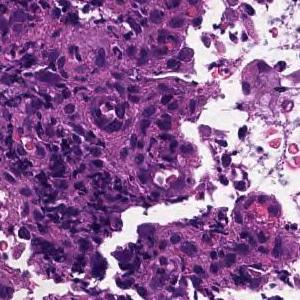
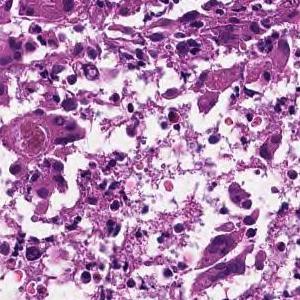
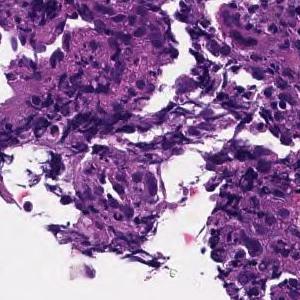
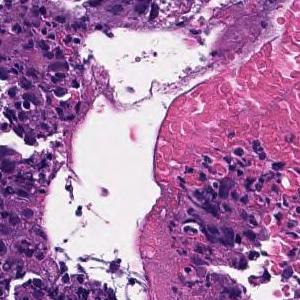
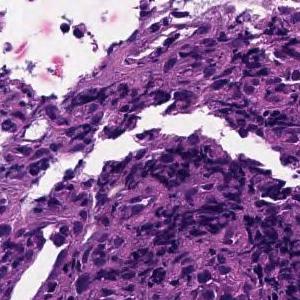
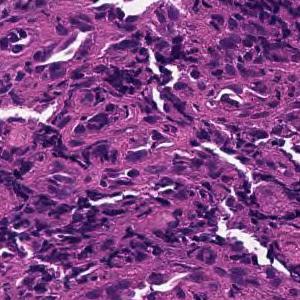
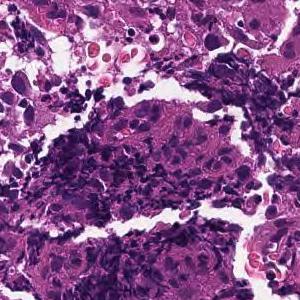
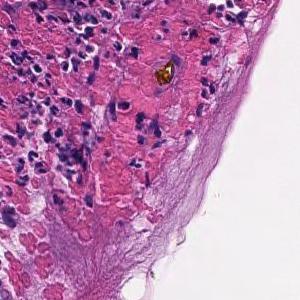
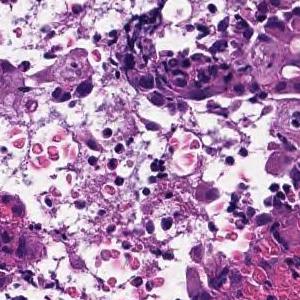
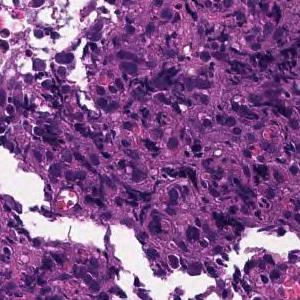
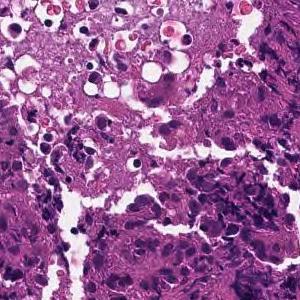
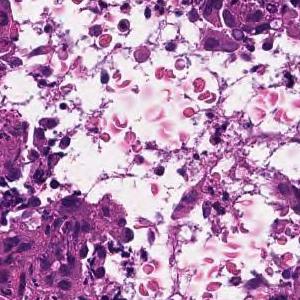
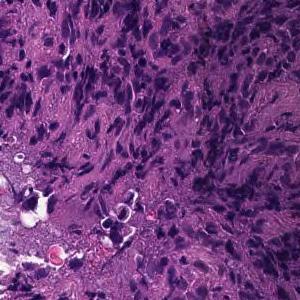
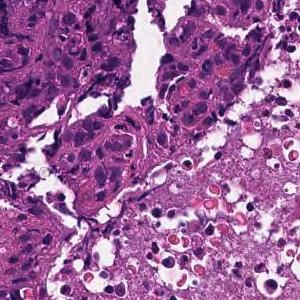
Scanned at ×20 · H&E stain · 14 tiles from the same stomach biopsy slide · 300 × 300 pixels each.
Pathology report for the biopsy slide these tiles were cut from. The report and the diagnosis describe the slide as a whole, so these tiles may not show every feature named and may include non-tumor tissue.
Tumor cells are medium to large, cuboidal, and have little tendency to differentiate. Poorly differentiated adenocarcinoma, solid-type  or moderately differentiated tubular adenocarcinoma
Dataset label: poorly differentiated adenocarcinoma, solid type, a category of the Japanese Classification of Gastric Carcinoma; in the WHO 2019 classification it is tubular adenocarcinoma, poorly differentiated.
